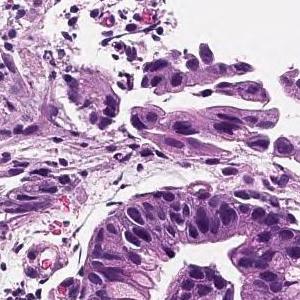
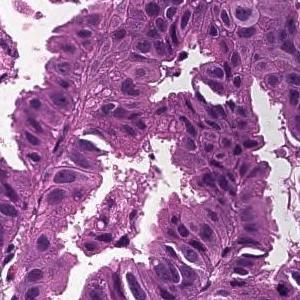
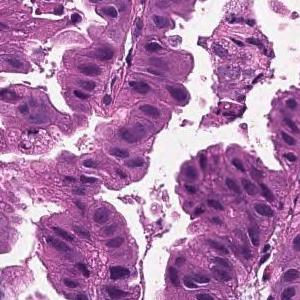
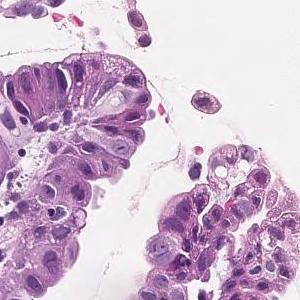
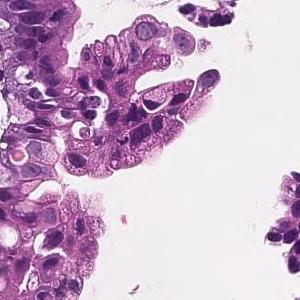
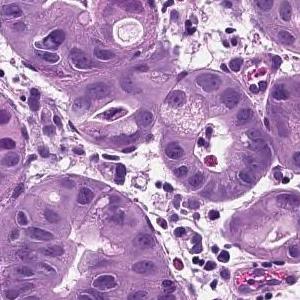
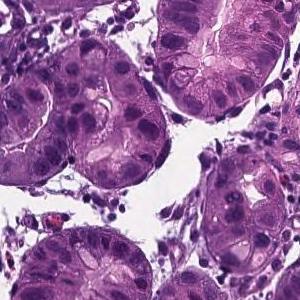
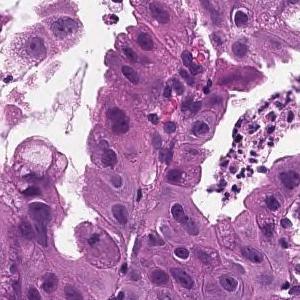
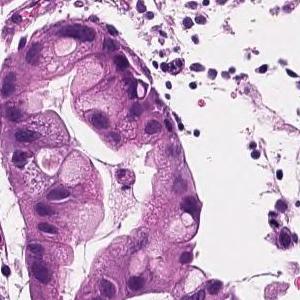
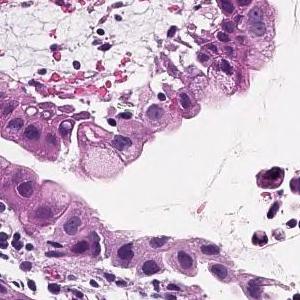
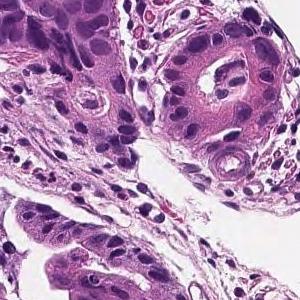
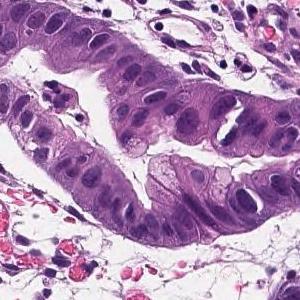
H&E stain; 20× magnification; 12 tiles from the same stomach biopsy slide; 300 × 300 pixels each.
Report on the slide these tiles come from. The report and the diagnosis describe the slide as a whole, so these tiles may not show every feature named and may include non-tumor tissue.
On the superficial epithelium, tumor tissue that infiltrates by forming medium-sized papillary or small irregular ducts is observed. Papillary adenocarcinoma
